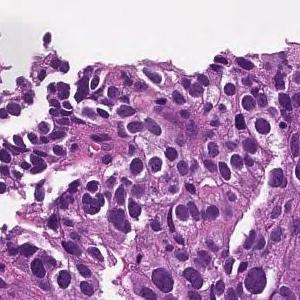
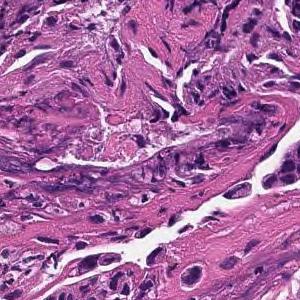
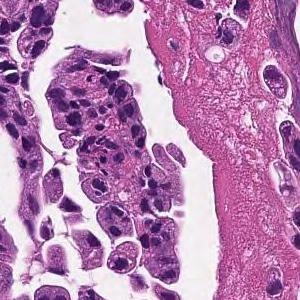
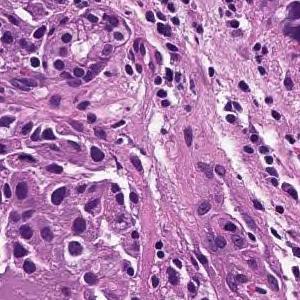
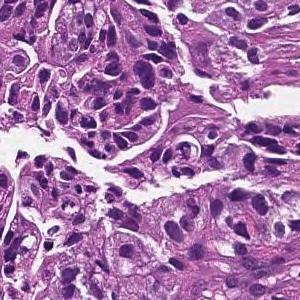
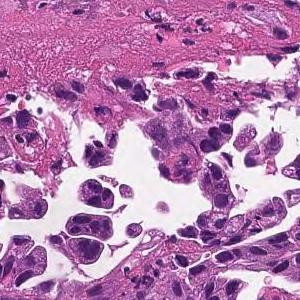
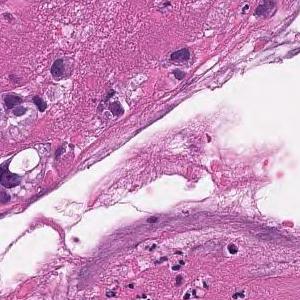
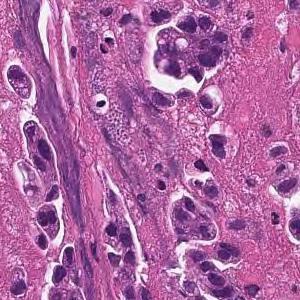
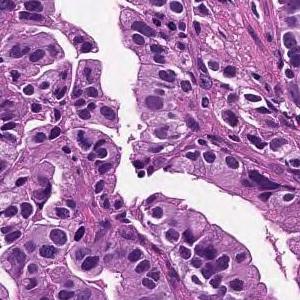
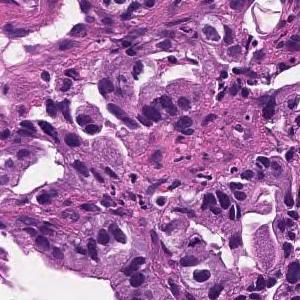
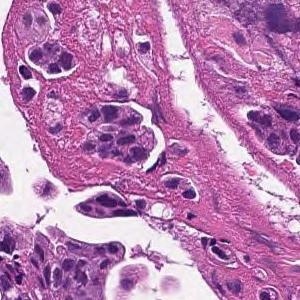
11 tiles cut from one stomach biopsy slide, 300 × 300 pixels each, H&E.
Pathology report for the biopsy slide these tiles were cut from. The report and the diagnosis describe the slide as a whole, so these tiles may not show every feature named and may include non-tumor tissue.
Medium to small, irregular glandular ducts are formed in the superficial epithelium, and in some cases, the glandular ducts are fused to show solid alveolar lesions and infiltrating tumor tissue is observed. Moderately to poorly differentiated adenocarcinoma.
